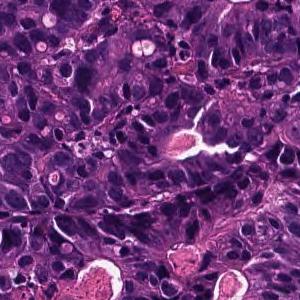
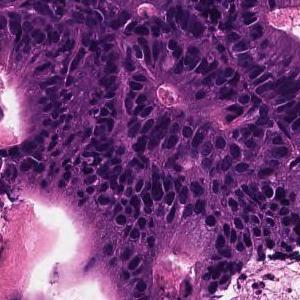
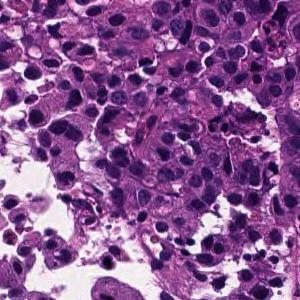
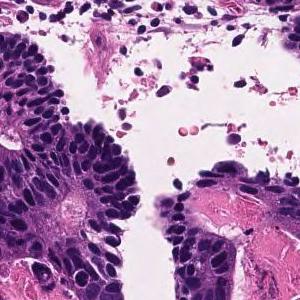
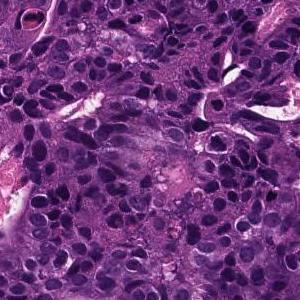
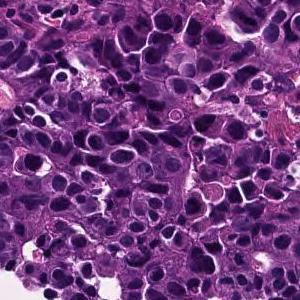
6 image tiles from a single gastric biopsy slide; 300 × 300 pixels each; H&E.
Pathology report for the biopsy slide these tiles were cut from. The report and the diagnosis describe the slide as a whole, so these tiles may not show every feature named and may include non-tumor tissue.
In the superficial epithelium, tumor tissue that invades by forming medium-sized to small, irregular ducts is observed. moderately differentiated tubular adenocarcinoma.
